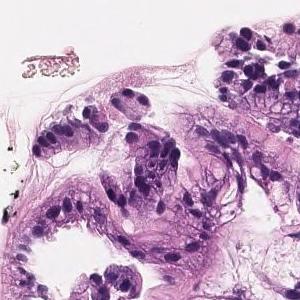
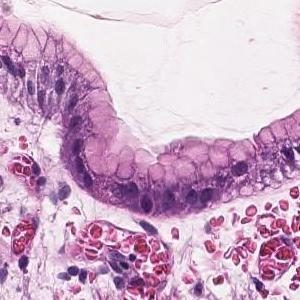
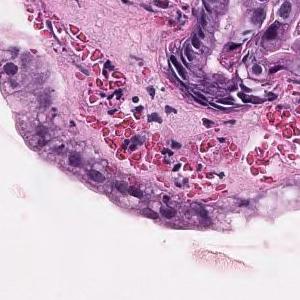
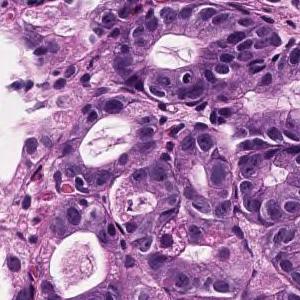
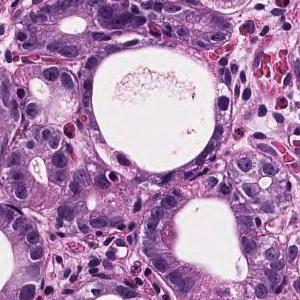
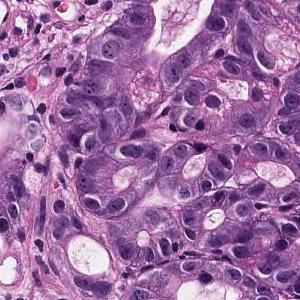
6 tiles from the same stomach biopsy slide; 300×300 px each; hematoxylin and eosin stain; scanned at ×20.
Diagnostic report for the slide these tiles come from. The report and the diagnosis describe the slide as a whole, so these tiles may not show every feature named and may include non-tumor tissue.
On the superficial epithelium, tumor tissue that infiltrates by forming medium-sized round or small irregular ducts is observed. Papillary adenocarcinoma
